14 image tiles from a single gastric biopsy slide, 300×300 px each, H&E stain, 20× magnification.
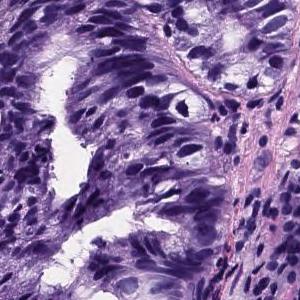
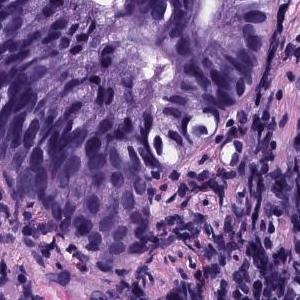
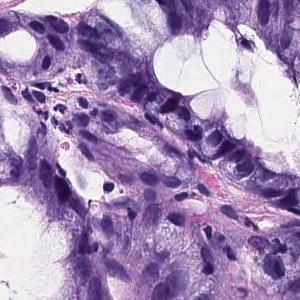
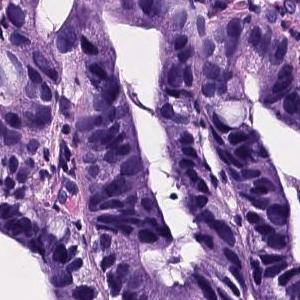
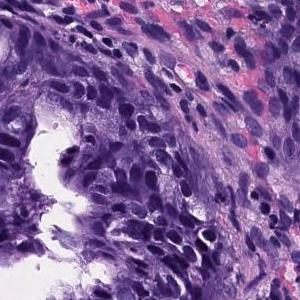
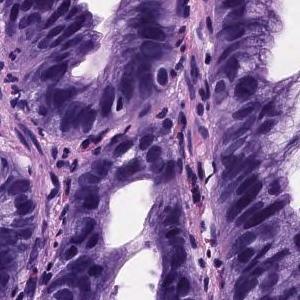
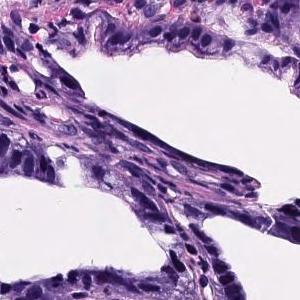
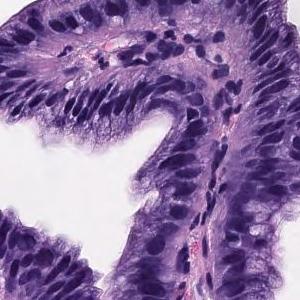
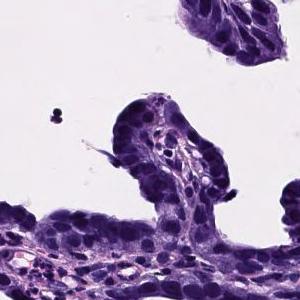
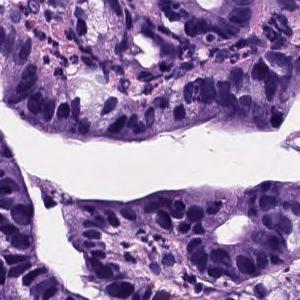
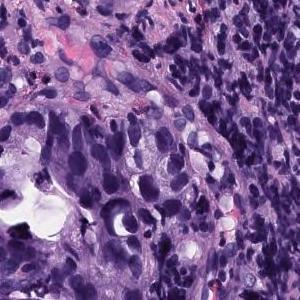
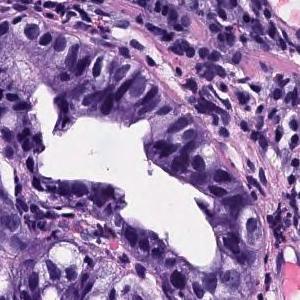
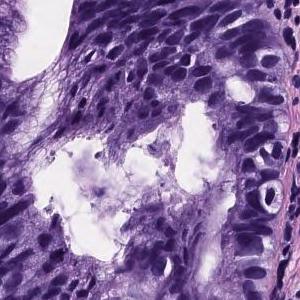
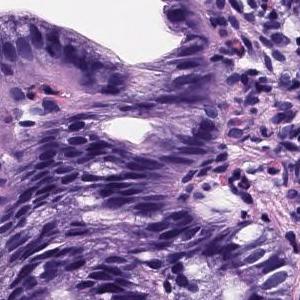
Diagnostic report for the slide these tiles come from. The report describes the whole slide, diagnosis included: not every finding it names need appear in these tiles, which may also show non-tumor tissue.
Large atypical cells which form medium to large ducts are proliferating. Well differentiated adenocarcinoma (well differentiated tubular adenocarcinoma)
Subtype: Well differentiated tubular adenocarcinoma.
